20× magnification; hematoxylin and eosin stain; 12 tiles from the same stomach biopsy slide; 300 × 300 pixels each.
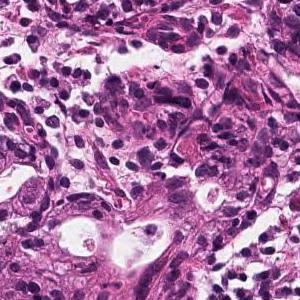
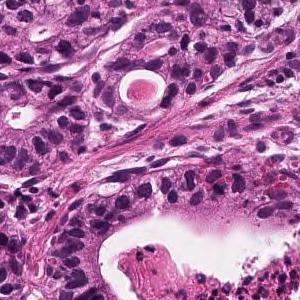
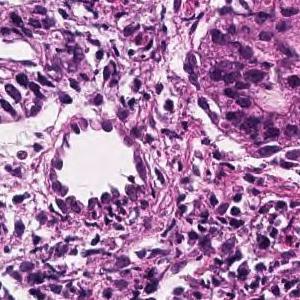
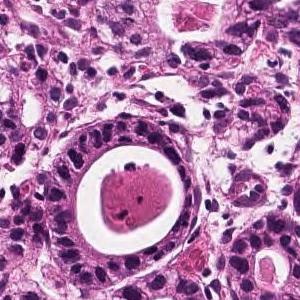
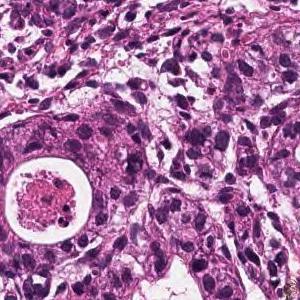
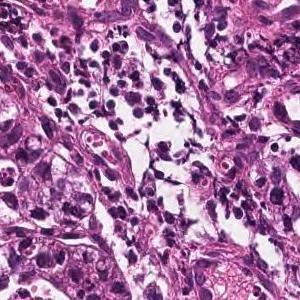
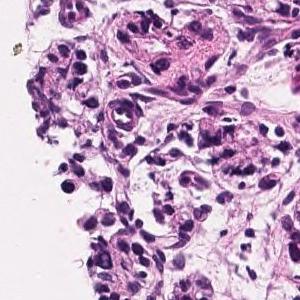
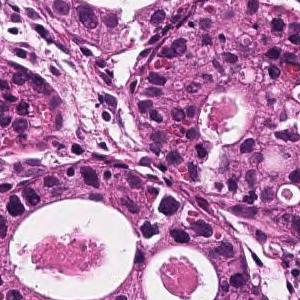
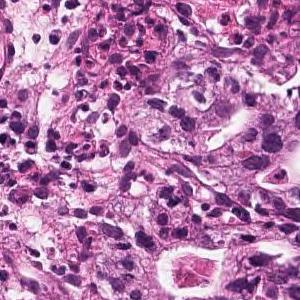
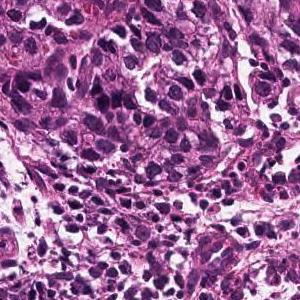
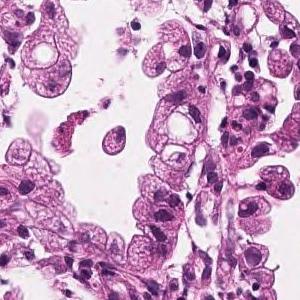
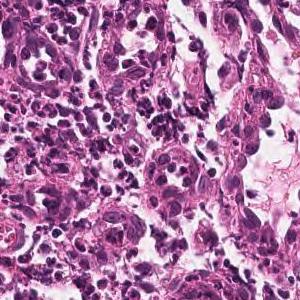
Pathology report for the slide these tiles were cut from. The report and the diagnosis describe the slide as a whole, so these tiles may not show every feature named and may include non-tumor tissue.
Tumor tissue consisting of medium-sized and irregular ducts is observed infiltrating in the superficial epithelium. Tumor cells are highly columnar, with nuclei aligned basolaterally and polarized. Well differentiated tubular adenocarcinoma.
